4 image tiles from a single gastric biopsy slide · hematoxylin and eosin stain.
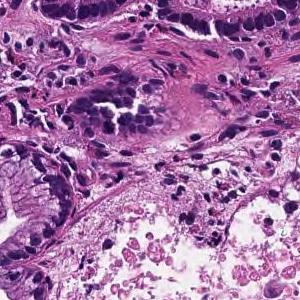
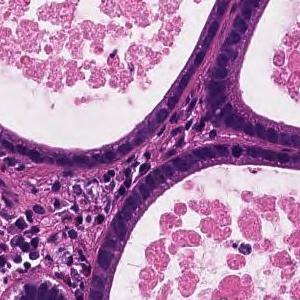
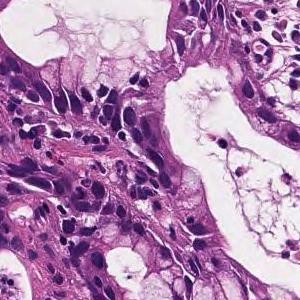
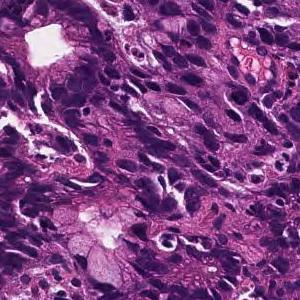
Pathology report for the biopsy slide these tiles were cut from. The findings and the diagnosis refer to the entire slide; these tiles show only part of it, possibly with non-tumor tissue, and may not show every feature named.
On the superficial epithelium, tumor tissue consisting of medium-sized and irregular glandular ducts partially fused and infiltrated is observed. Well to moderately differentiated tubular adenocarcinoma (well differentiated tubular adenocarcinoma-moderately differentiated tubular adenocarcinoma)
Histologic type: Well to moderately differentiated tubular adenocarcinoma.
